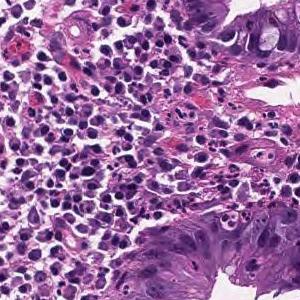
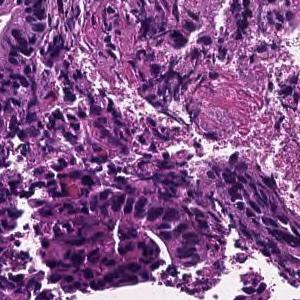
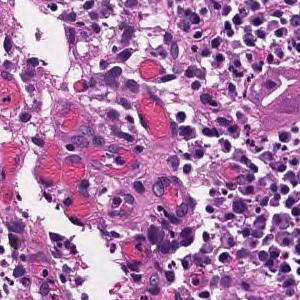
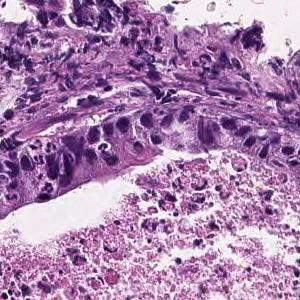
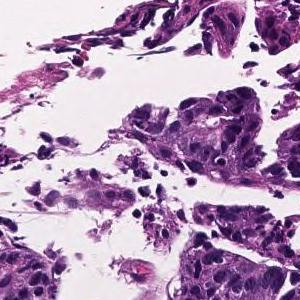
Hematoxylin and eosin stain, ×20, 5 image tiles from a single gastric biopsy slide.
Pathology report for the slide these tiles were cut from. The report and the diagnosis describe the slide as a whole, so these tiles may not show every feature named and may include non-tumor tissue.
On the superficial epithelium, tumor tissue consisting of large, irregular glandular ducts partially fused and infiltrated is observed. Well to moderately differentiated tubular adenocarcinoma (well differentiated tubular adenocarcinoma, moderately differentiated tubular adenocarcinoma)
Histological subtype: Well to moderately differentiated tubular adenocarcinoma.
